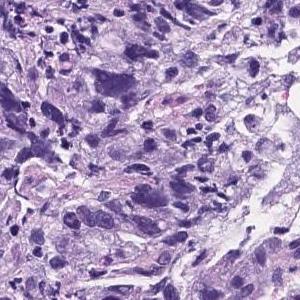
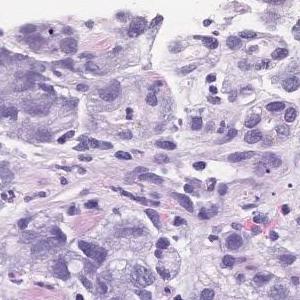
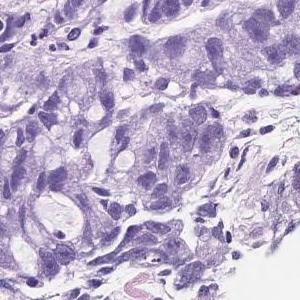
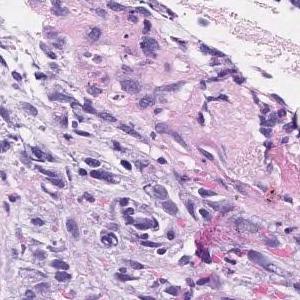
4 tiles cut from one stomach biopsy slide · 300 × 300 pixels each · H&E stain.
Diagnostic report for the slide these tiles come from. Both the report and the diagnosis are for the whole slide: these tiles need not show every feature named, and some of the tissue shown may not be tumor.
Atypical l cells with atypical nuclei forming solid vesicles or small irregular atypical ducts that proliferate in a complex manner. poorly differentiated adenocarcinoma, solid type, moderately differentiated tubular adenocarcinoma
"Solid type" is a category of the Japanese Classification of Gastric Carcinoma; in the WHO 2019 classification it is tubular adenocarcinoma, poorly differentiated.
